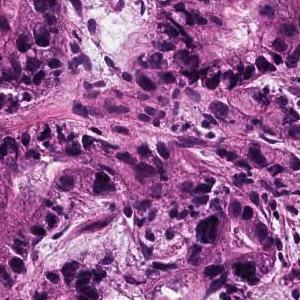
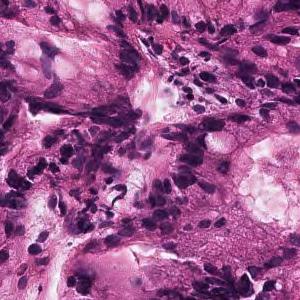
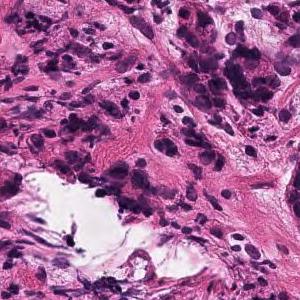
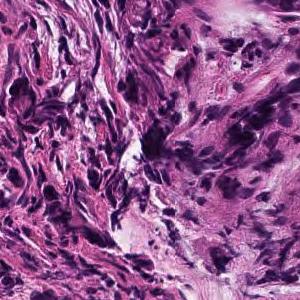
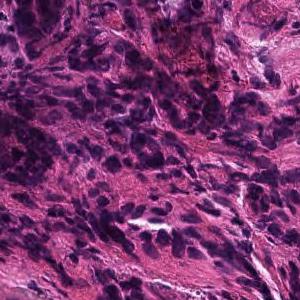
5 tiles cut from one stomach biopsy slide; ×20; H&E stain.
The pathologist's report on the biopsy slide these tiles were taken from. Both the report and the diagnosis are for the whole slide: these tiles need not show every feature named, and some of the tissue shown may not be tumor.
Proliferation of small, irregular tubular glandular ducts with fusion is seen just above the muscularis mucosae in the lamina propria. moderately differentiated tubular adenocarcinoma
